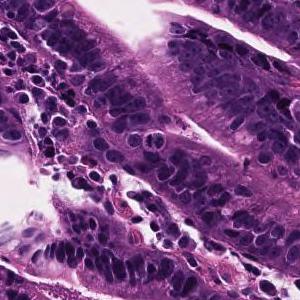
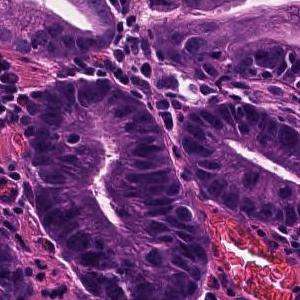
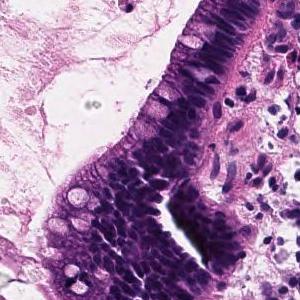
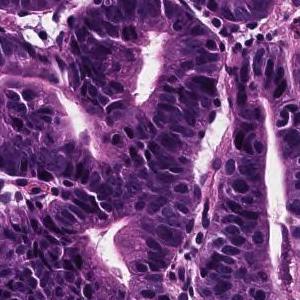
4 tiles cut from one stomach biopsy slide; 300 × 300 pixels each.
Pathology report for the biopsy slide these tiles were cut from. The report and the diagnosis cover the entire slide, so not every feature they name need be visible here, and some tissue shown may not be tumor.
On the superficial epithelium, tumor tissue consisting of growth of medium-sized to large-sized, round or irregular glandular ducts is observed. Well differentiated tubular adenocarcinoma
